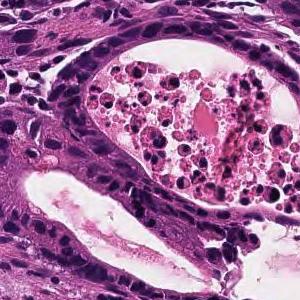
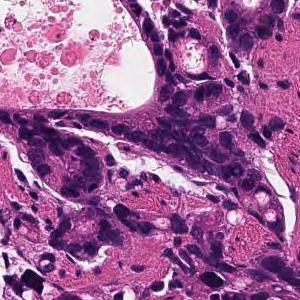
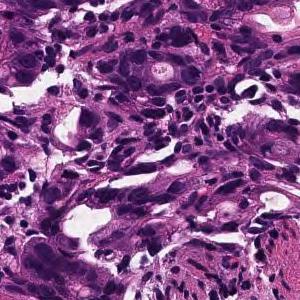
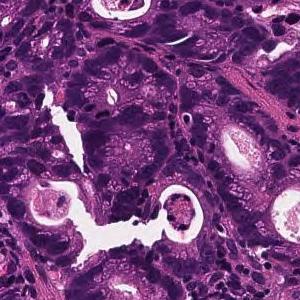
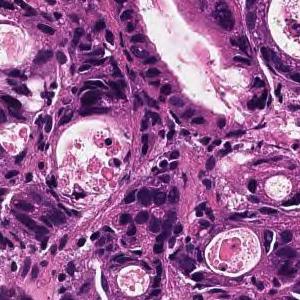
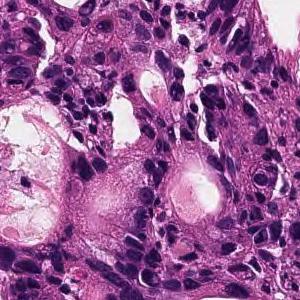
6 image tiles from a single gastric biopsy slide; 300 × 300 pixels each; scanned at ×20; hematoxylin and eosin stain.
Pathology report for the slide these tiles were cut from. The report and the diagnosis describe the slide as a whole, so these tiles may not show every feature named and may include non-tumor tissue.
In the superficial epithelium, tumor tissue that invades by forming medium-sized to small, irregular ducts is observed. moderately differentiated tubular adenocarcinoma.
